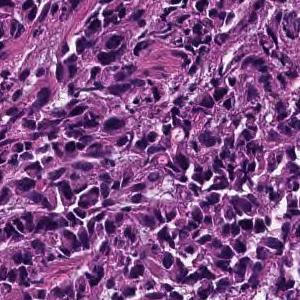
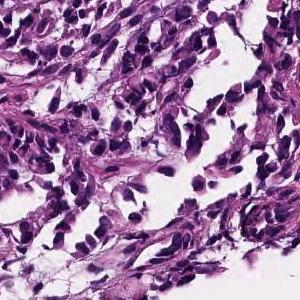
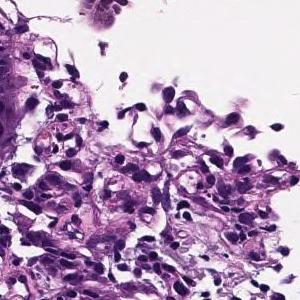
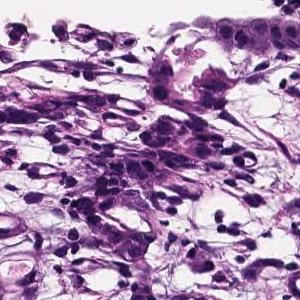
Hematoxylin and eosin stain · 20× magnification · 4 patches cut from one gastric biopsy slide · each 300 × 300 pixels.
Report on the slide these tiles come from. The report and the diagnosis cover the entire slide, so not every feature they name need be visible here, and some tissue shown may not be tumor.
Poorly differentiated, solid adenocarcinoma (poorly differentiated adenocarcinoma, solid type) with tumor tissue diffusely infiltrated with atypical epithelial cells
Subtype: Poorly differentiated adenocarcinoma, solid type, a category of the Japanese Classification of Gastric Carcinoma; in the WHO 2019 classification it is tubular adenocarcinoma, poorly differentiated.
